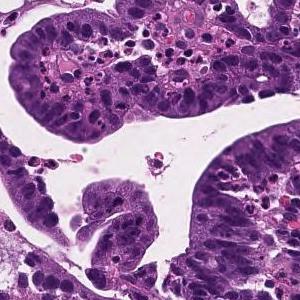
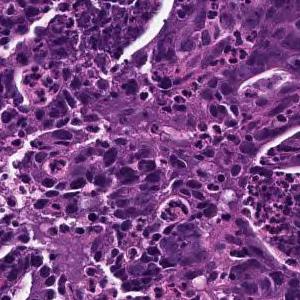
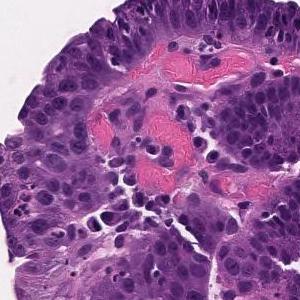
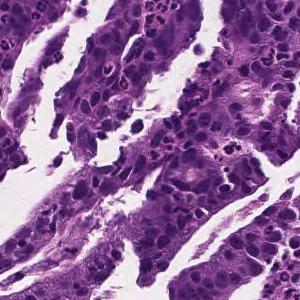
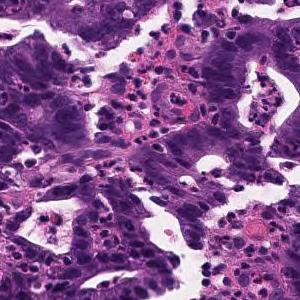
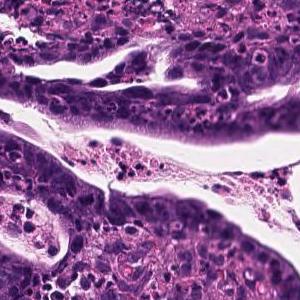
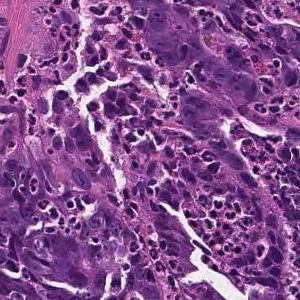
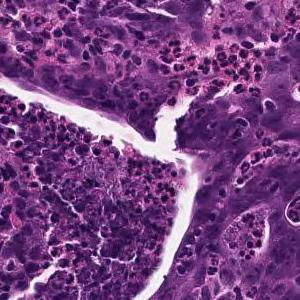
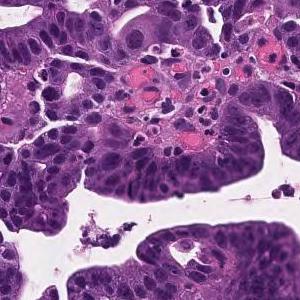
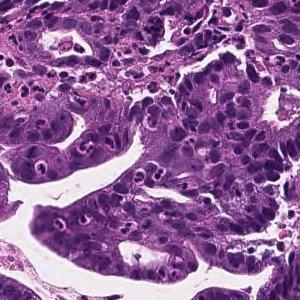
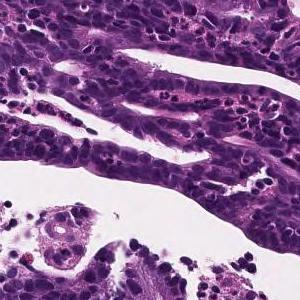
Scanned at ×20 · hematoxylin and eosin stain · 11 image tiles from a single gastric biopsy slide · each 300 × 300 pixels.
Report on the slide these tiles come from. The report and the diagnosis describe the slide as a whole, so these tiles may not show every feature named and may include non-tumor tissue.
Tumor cells are large, highly columnar, large club-shaped nuclei, and are associated with chromatin aggregation. Papillary adenocarcinoma.
